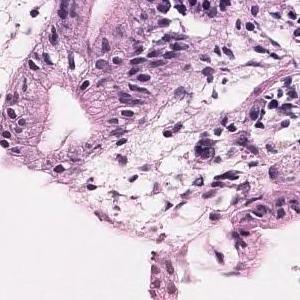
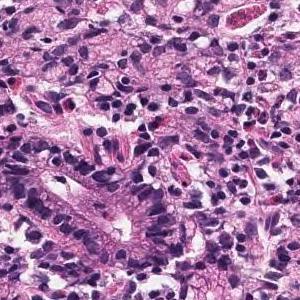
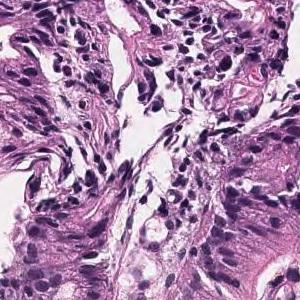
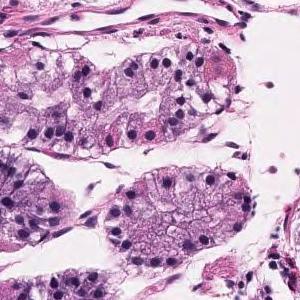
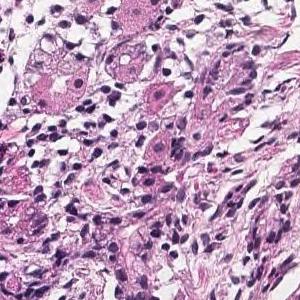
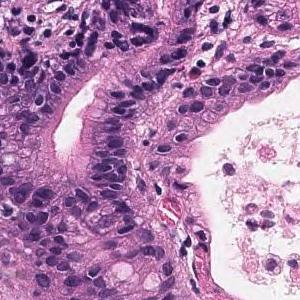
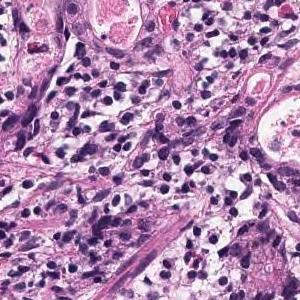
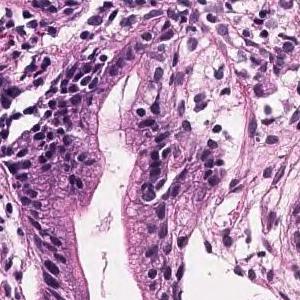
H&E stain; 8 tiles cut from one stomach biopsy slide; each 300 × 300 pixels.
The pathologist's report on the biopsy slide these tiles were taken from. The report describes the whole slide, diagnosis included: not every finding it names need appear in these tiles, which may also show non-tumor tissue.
Tumor tissue that grows and grows is observed, showing a medium-sized round or irregular duct. moderately differentiated tubular adenocarcinoma
